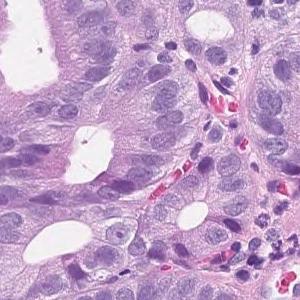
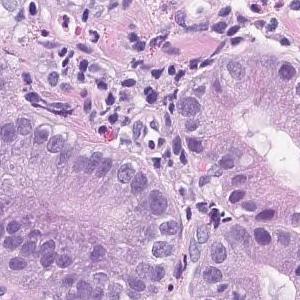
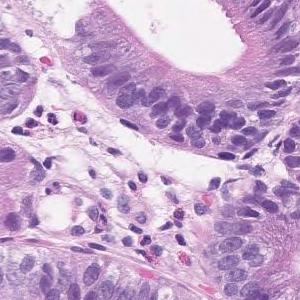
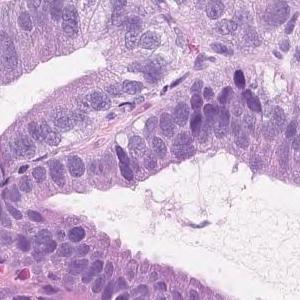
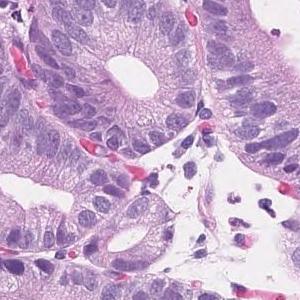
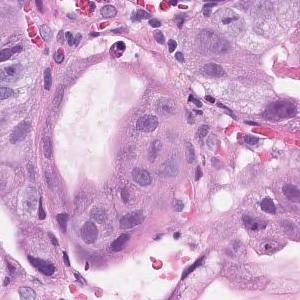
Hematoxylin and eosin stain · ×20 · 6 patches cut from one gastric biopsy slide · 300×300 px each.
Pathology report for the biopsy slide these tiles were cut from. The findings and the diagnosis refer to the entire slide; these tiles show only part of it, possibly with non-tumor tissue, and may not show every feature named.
Tumor tissue consisting of medium-sized and irregular ducts is observed infiltrating in the superficial epithelium. Tumor cells are highly columnar, with nuclei aligned basolaterally and polarized. Well differentiated tubular adenocarcinoma.
